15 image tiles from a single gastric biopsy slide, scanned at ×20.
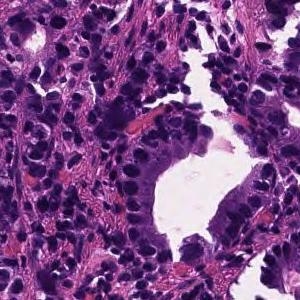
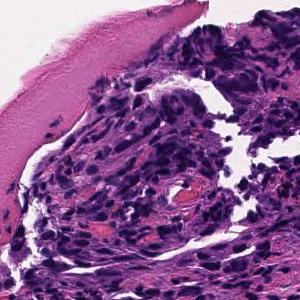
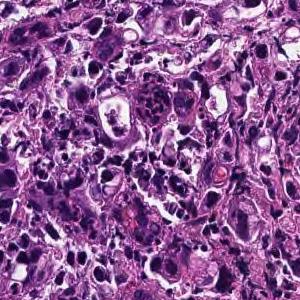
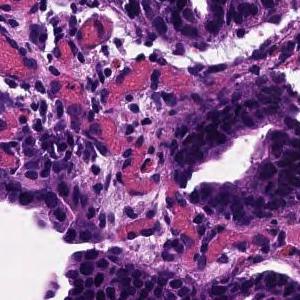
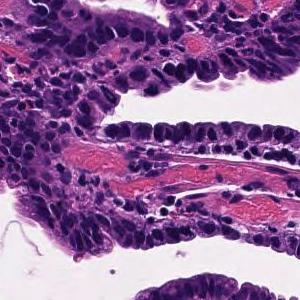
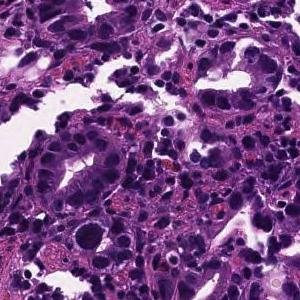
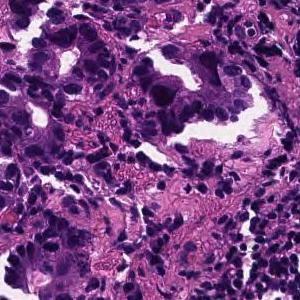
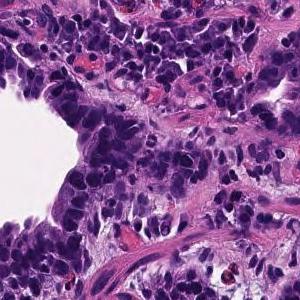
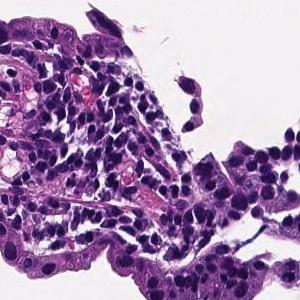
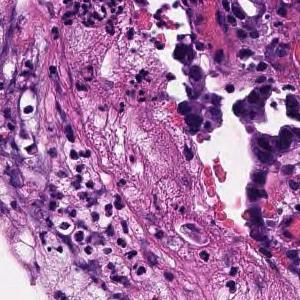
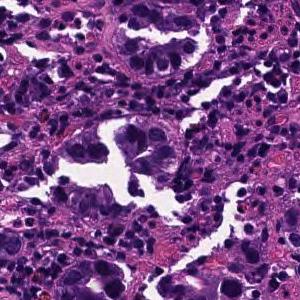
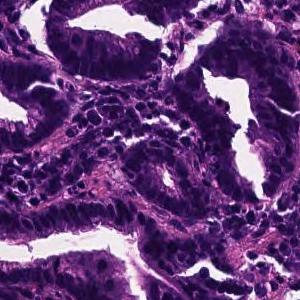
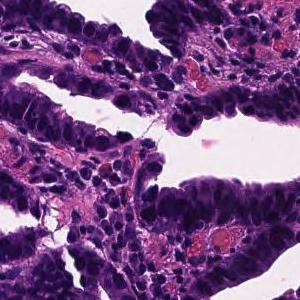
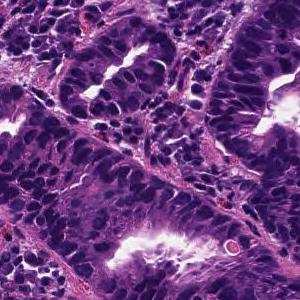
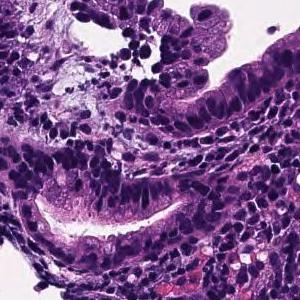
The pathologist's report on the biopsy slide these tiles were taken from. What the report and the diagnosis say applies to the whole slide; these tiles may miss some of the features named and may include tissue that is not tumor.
On the superficial epithelium, tumor tissue that infiltrates by forming medium-sized papillary or small irregular ducts is observed. Papillary adenocarcinoma
